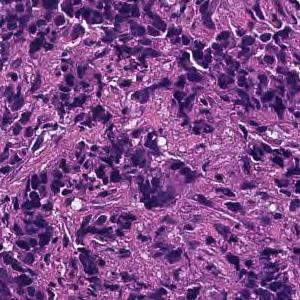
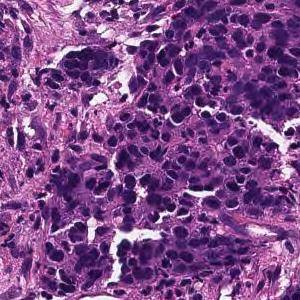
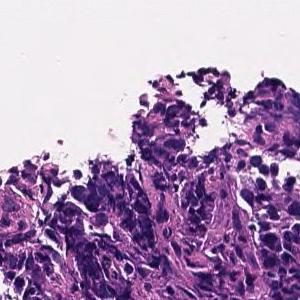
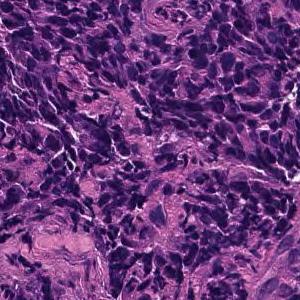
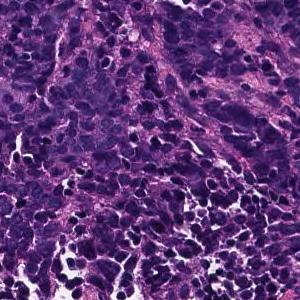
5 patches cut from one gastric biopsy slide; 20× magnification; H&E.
The pathologist's report on the biopsy slide these tiles were taken from. Both the report and the diagnosis are for the whole slide: these tiles need not show every feature named, and some of the tissue shown may not be tumor.
Tumor tissue consisting of cord-like or small, irregular glandular ducts fused and infiltrated is observed in the superficial epithelium. Poorly differentiated adenocarcinoma, non-solid type
"Non-solid type" is a category of the Japanese Classification of Gastric Carcinoma.
